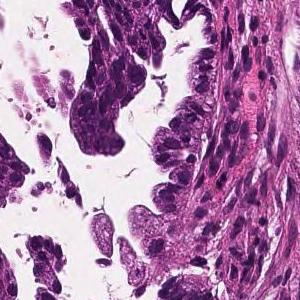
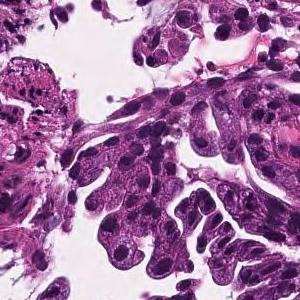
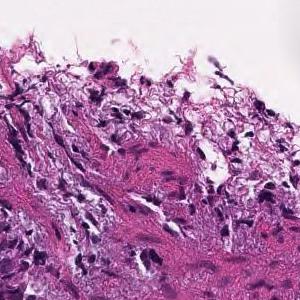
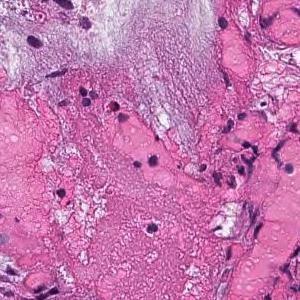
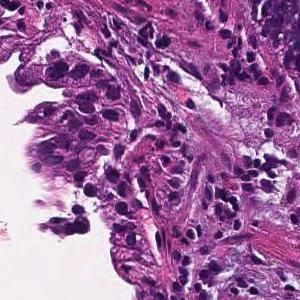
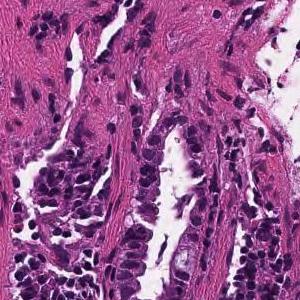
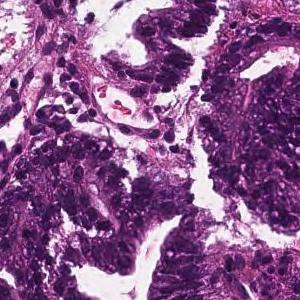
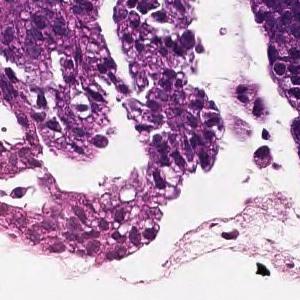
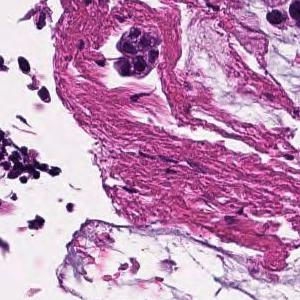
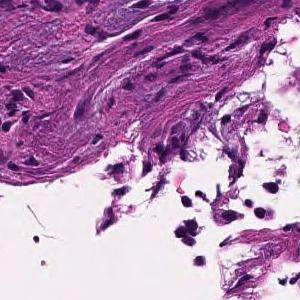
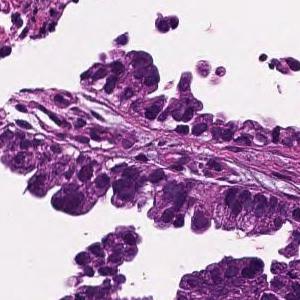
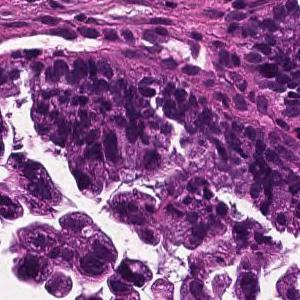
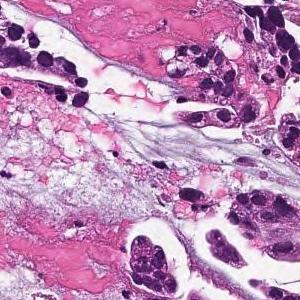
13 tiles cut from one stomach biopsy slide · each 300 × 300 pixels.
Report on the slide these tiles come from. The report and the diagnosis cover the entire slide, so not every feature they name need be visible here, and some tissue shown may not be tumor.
Tumor cells are large, highly columnar, large club-shaped nuclei, and are associated with chromatin aggregation. Papillary adenocarcinoma.
